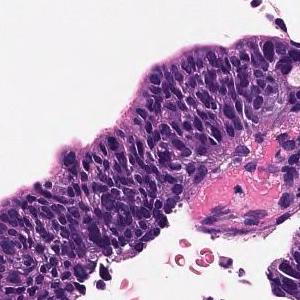
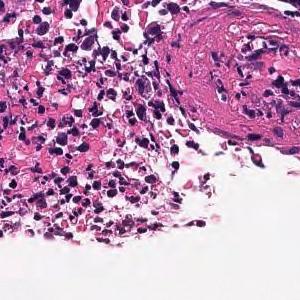
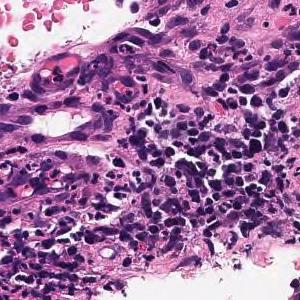
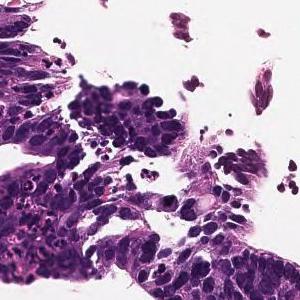
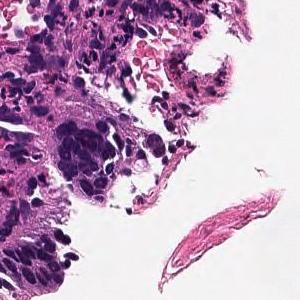
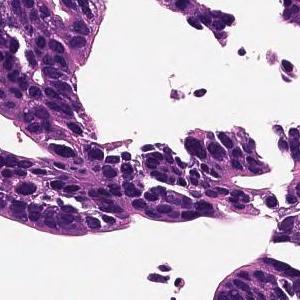
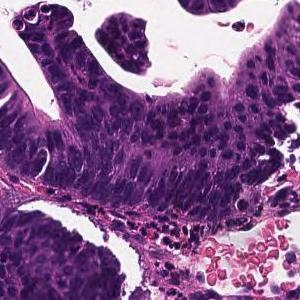
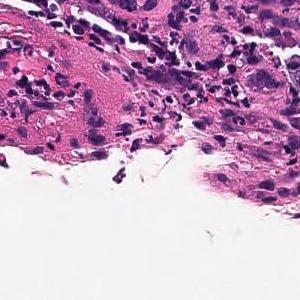
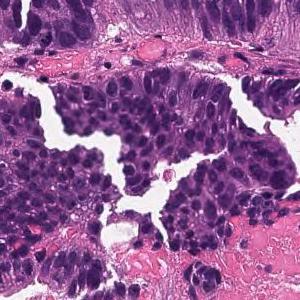
9 tiles cut from one stomach biopsy slide, hematoxylin and eosin stain, 20× magnification.
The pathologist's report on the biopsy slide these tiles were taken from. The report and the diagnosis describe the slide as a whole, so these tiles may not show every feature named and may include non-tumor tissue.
Tumor cells are large, highly columnar, large club-shaped nuclei, and are associated with chromatin aggregation. Papillary adenocarcinoma.
